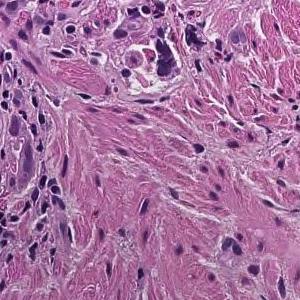
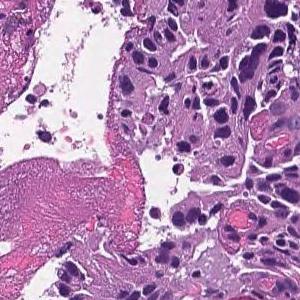
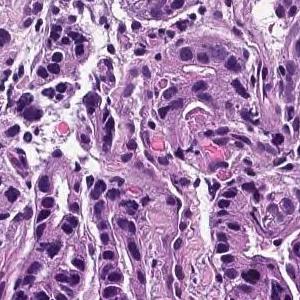
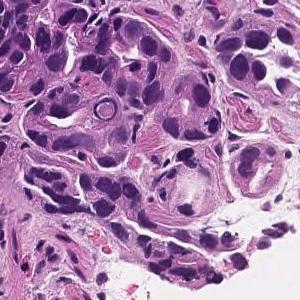
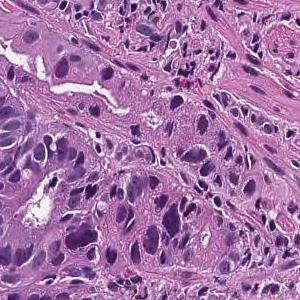
×20 · hematoxylin and eosin stain · 5 image tiles from a single gastric biopsy slide.
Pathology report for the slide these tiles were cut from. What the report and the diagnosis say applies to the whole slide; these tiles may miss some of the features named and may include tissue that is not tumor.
In the superficial epithelium, tumor tissue that invades by forming medium-sized to small, irregular ducts is observed. moderately differentiated tubular adenocarcinoma.
